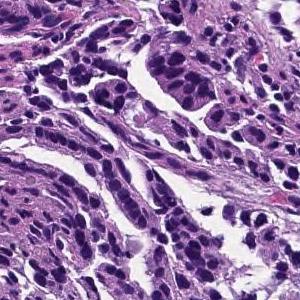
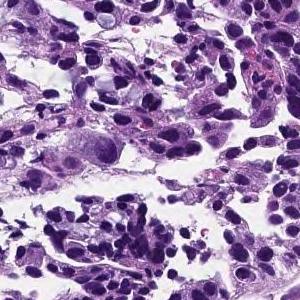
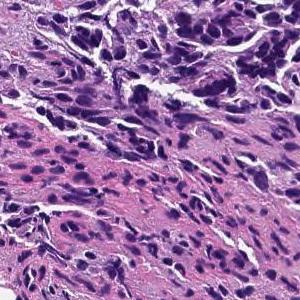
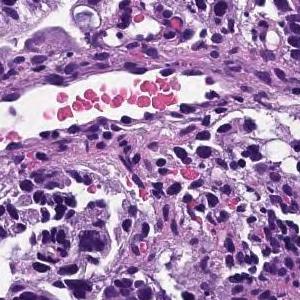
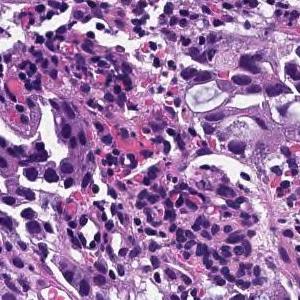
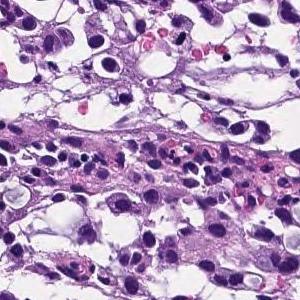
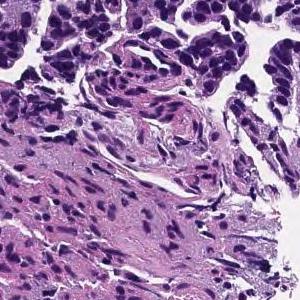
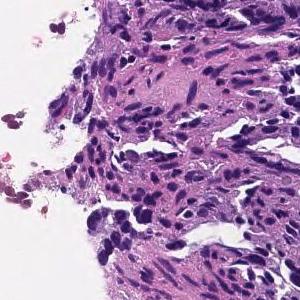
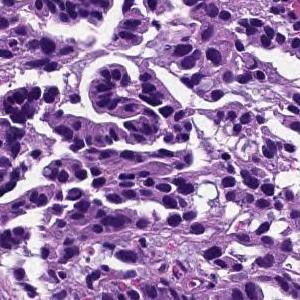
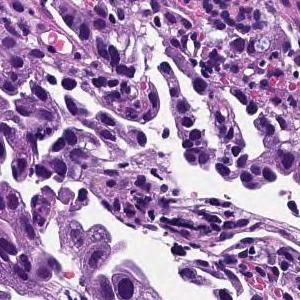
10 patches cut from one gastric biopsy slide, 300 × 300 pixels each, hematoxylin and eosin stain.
Pathology report for the slide these tiles were cut from. The report and the diagnosis describe the slide as a whole, so these tiles may not show every feature named and may include non-tumor tissue.
Tumor tissue consisting of medium-sized, cord-like or irregular glandular infiltration is observed in the superficial epithelium. Poorly differentiated adenocarcinoma, non-solid type or moderately differentiated tubular adenocarcinoma
Classified as moderately to poorly differentiated adenocarcinoma.
The non-solid type named here is a Japanese Classification of Gastric Carcinoma category.
